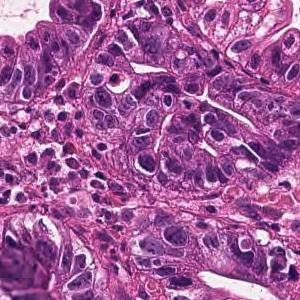
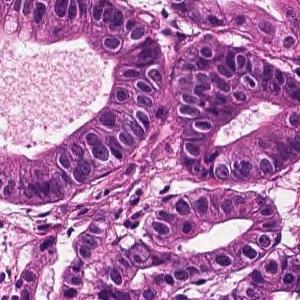
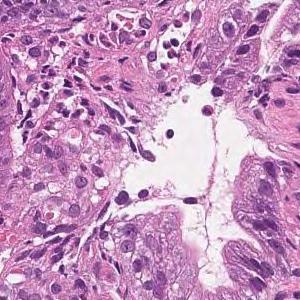
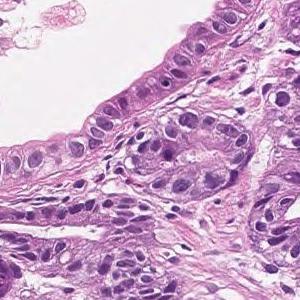
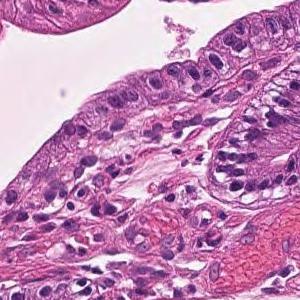
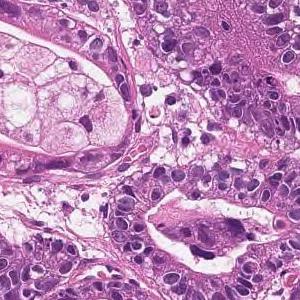
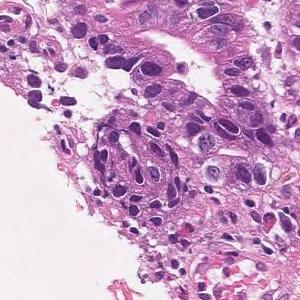
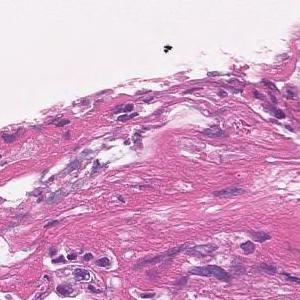
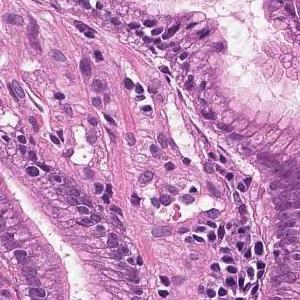
9 tiles cut from one stomach biopsy slide, H&E stain, ×20.
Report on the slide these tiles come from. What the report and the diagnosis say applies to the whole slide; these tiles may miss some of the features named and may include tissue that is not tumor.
In the superficial epithelium, tumor tissue that invades by forming medium-sized to small, irregular ducts is observed. Well differentiated tubular adenocarcinoma.
